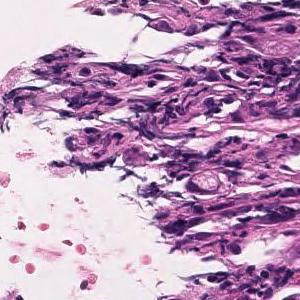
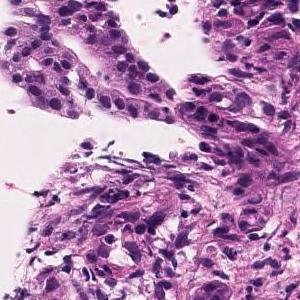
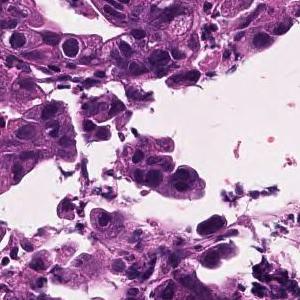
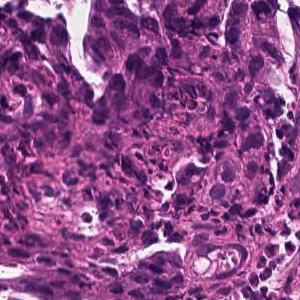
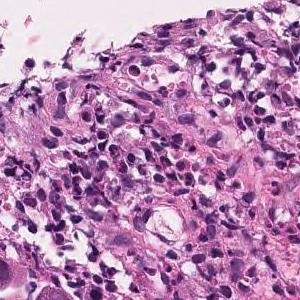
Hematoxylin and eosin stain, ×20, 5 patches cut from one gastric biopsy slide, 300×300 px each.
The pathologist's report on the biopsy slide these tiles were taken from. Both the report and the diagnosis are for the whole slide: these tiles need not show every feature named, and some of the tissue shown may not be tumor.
Tumor tissue consisting of medium-sized, cord-like or irregular glandular infiltration is observed in the superficial epithelium. Poorly differentiated adenocarcinoma, non-solid type or moderately differentiated tubular adenocarcinoma
The term "non-solid type" comes from the Japanese Classification of Gastric Carcinoma.
